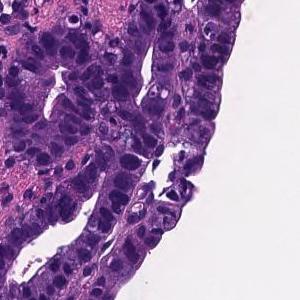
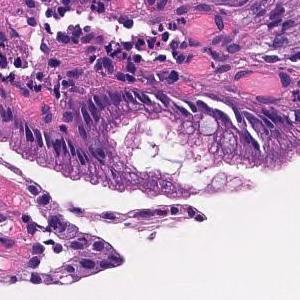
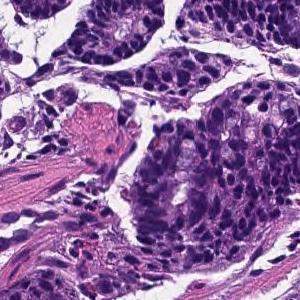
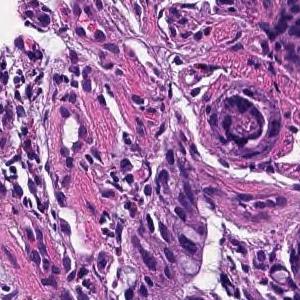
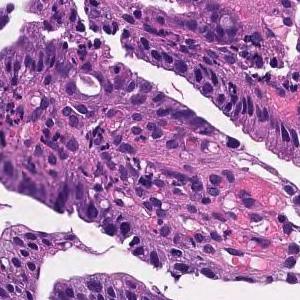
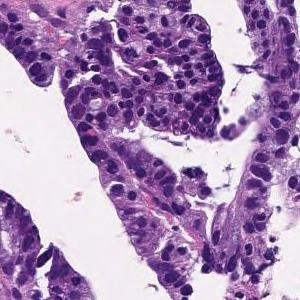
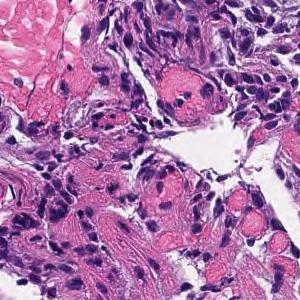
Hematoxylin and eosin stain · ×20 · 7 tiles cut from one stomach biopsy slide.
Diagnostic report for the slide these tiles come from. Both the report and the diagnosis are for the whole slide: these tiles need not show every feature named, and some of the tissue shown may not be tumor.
Tumor cells are large, highly columnar, large club-shaped nuclei, and are associated with chromatin aggregation. Papillary adenocarcinoma.
